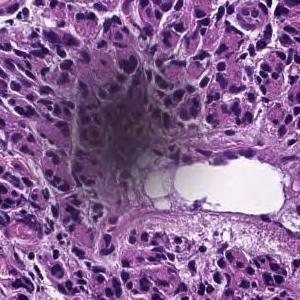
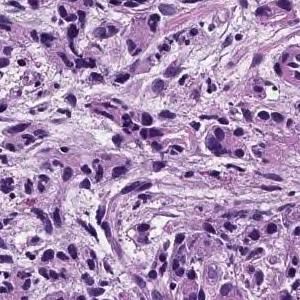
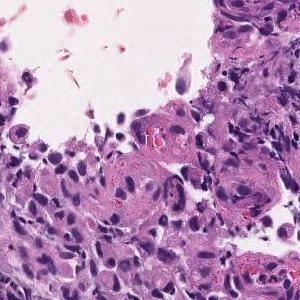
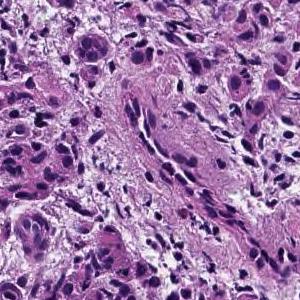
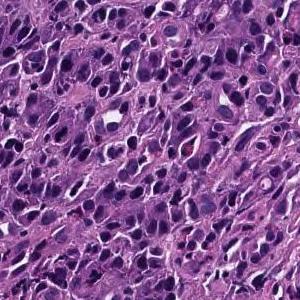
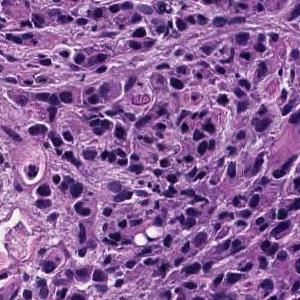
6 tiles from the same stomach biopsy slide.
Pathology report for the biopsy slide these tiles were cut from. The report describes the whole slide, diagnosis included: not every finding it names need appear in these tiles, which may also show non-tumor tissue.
The superficial epithelium shows a large sheet-like shape, and some tumor tissue infiltrates with small irregular ducts. Poorly differentiated adenocarcinoma, solid-type
Histologic type: Poorly differentiated adenocarcinoma, solid type. This name comes from the Japanese Classification of Gastric Carcinoma; the WHO 2019 classification calls it tubular adenocarcinoma, poorly differentiated.
